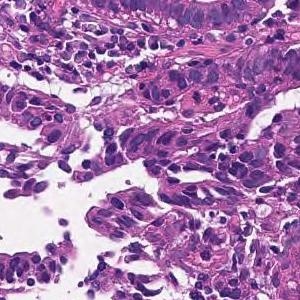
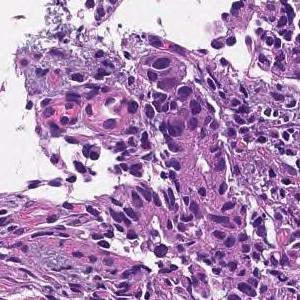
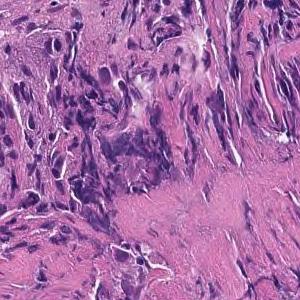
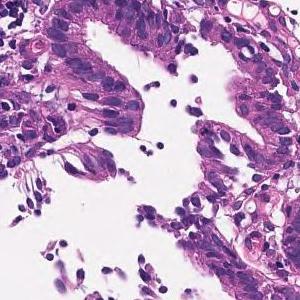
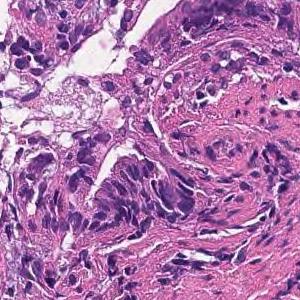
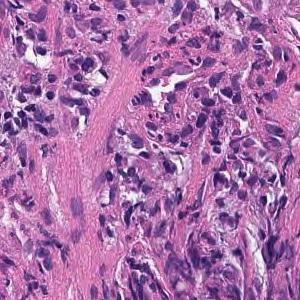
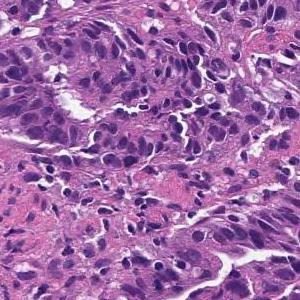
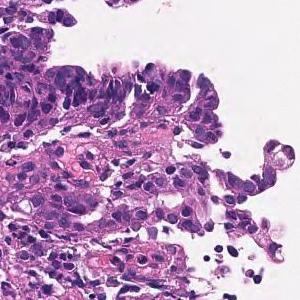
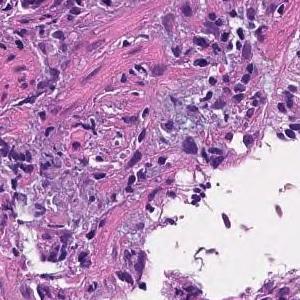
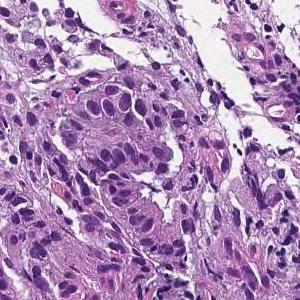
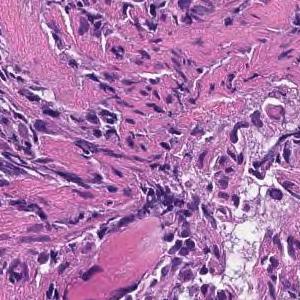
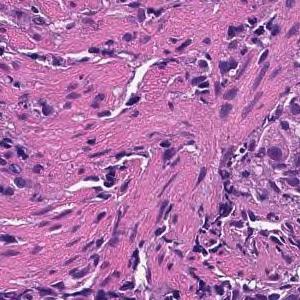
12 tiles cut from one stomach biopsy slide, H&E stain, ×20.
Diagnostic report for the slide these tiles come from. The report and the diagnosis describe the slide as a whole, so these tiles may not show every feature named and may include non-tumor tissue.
On the superficial epithelium, tumor tissue consisting of large, irregular glandular ducts partially fused and infiltrated is observed. Well to moderately differentiated tubular adenocarcinoma (well differentiated tubular adenocarcinoma, moderately differentiated tubular adenocarcinoma)
Tumor subtype: well to moderately differentiated tubular adenocarcinoma.
